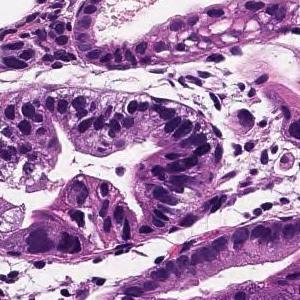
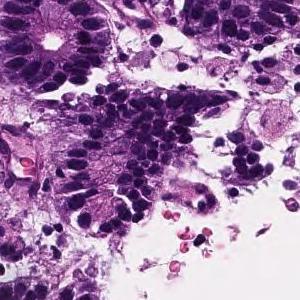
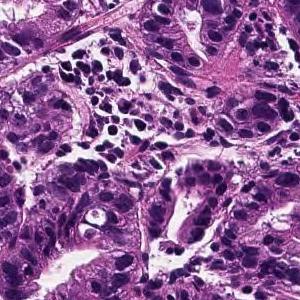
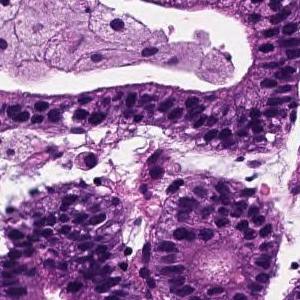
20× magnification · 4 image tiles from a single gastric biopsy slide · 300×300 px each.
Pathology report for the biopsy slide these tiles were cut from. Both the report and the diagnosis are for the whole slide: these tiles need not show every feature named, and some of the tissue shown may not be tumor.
From the superficial epithelium to the muscularis mucosae, tumor tissue consisting of medium-sized and irregular glandular ducts infiltrating is observed. Well differentiated tubular adenocarcinoma
